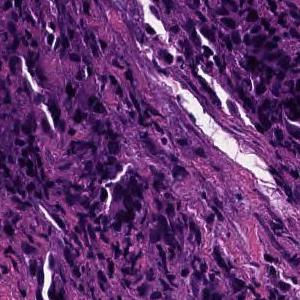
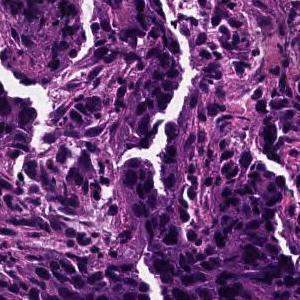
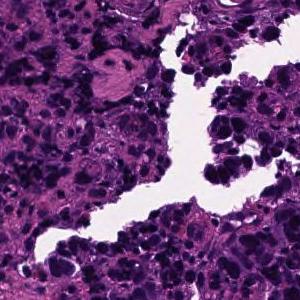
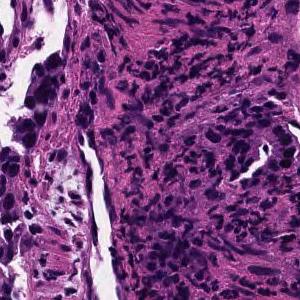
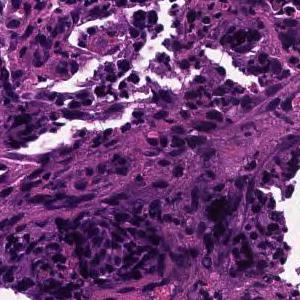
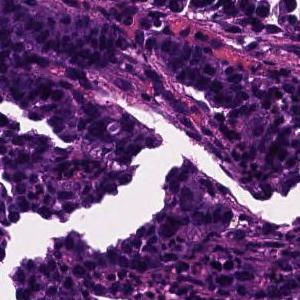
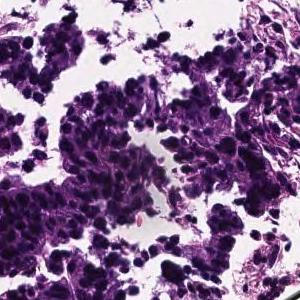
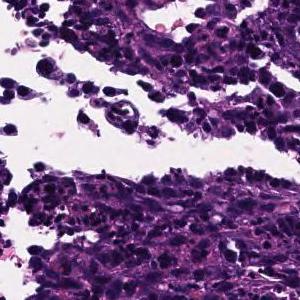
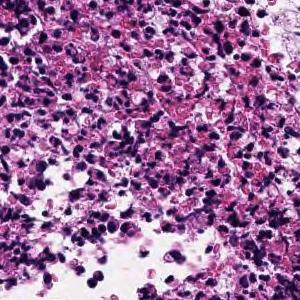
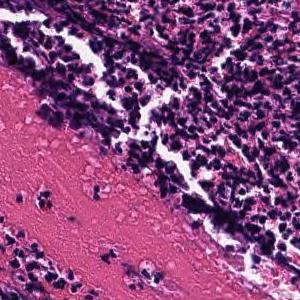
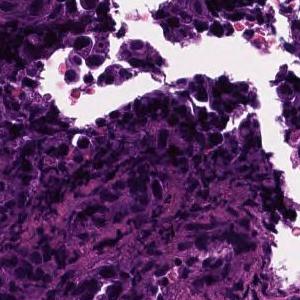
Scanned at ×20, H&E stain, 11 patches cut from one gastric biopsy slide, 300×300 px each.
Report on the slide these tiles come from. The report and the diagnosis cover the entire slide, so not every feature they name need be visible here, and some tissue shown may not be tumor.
In the superficial epithelium, tumor tissue that invades by forming medium-sized to small, irregular ducts is observed. moderately differentiated tubular adenocarcinoma.
